10 tiles cut from one stomach biopsy slide; 300×300 px each; 20× magnification.
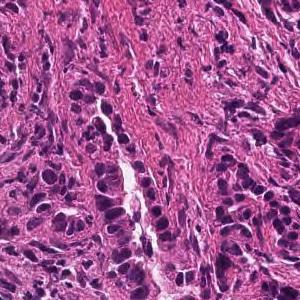
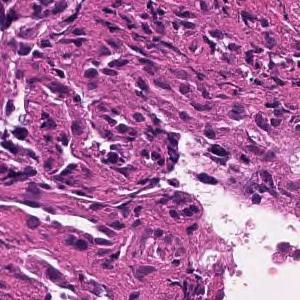
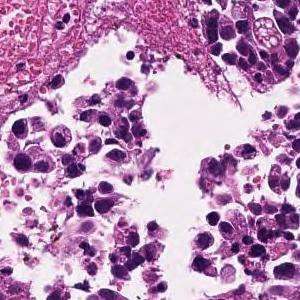
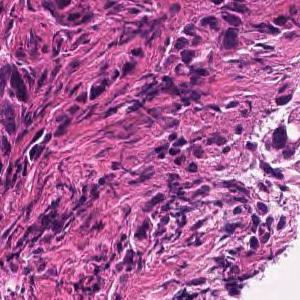
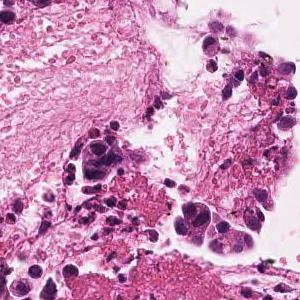
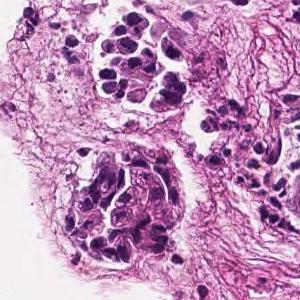
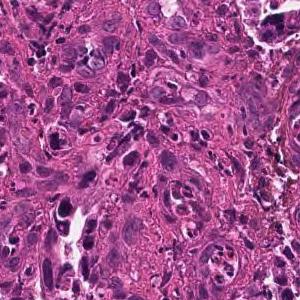
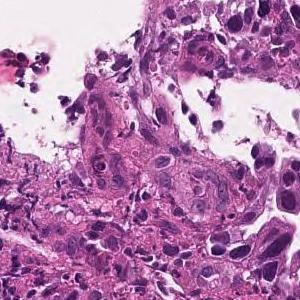
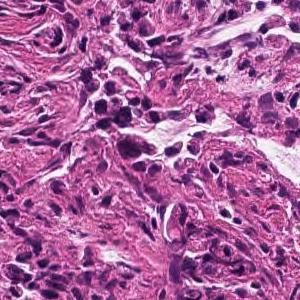
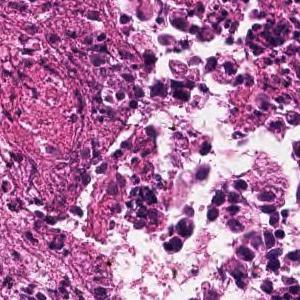
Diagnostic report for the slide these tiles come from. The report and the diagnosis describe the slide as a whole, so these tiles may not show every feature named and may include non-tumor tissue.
In the superficial epithelium, tumor tissue that invades by forming medium-sized to small, irregular ducts is observed. moderately differentiated tubular adenocarcinoma.
